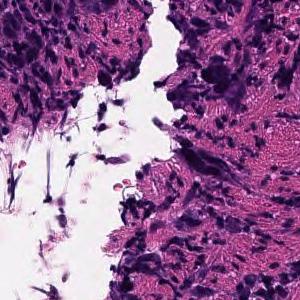
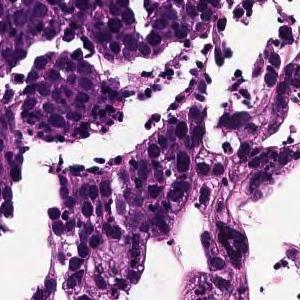
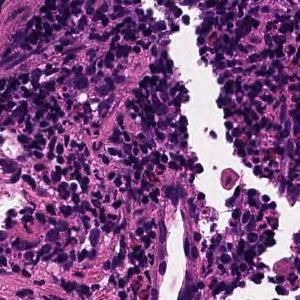
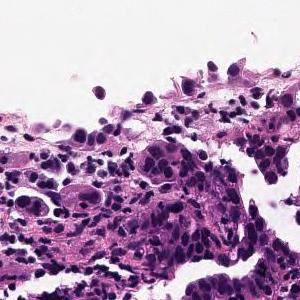
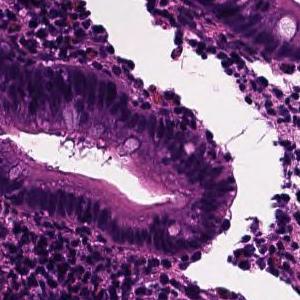
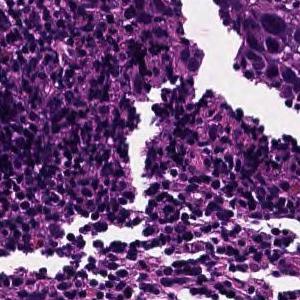
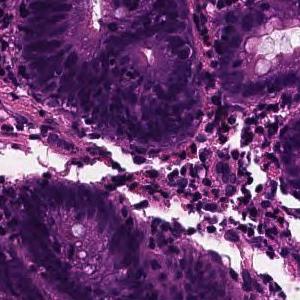
×20, H&E stain, 7 image tiles from a single gastric biopsy slide, 300×300 px each.
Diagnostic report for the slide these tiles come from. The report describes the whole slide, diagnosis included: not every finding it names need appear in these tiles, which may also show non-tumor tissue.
Tumor tissue consisting of cord-like or small, irregular glandular ducts fused and infiltrated is observed in the superficial epithelium. Poorly differentiated adenocarcinoma, non-solid type
"Non-solid type" is a category of the Japanese Classification of Gastric Carcinoma.
